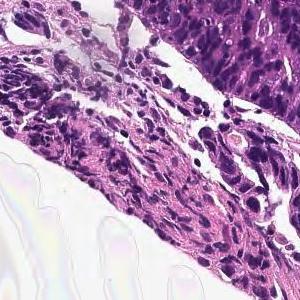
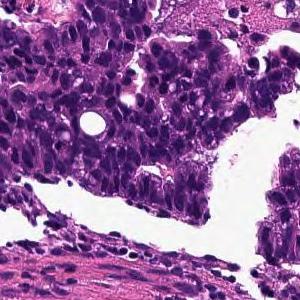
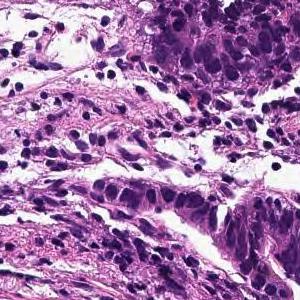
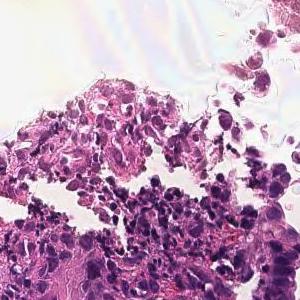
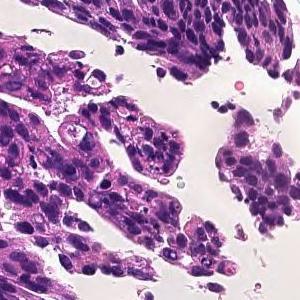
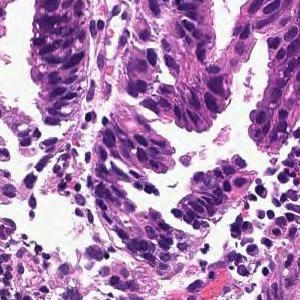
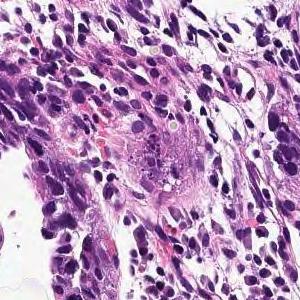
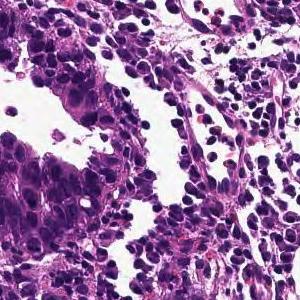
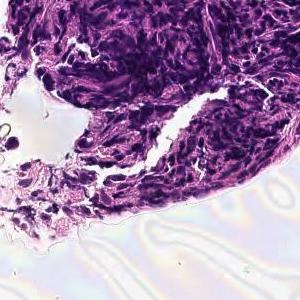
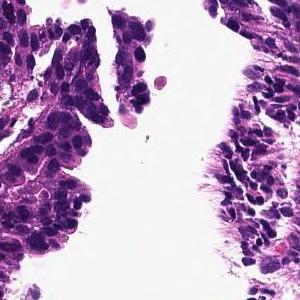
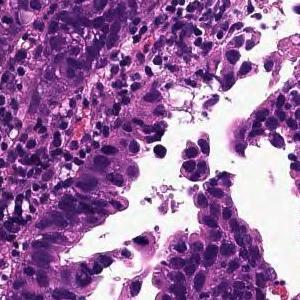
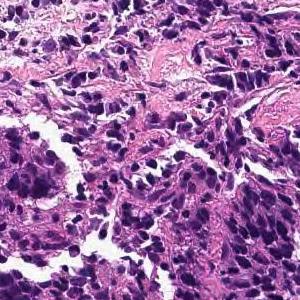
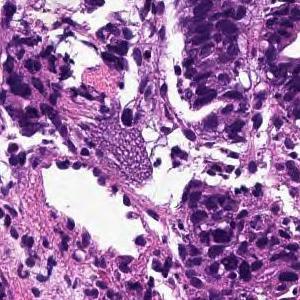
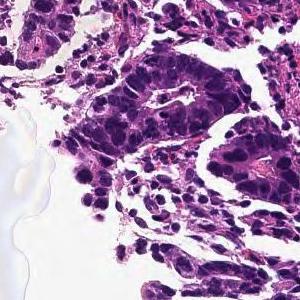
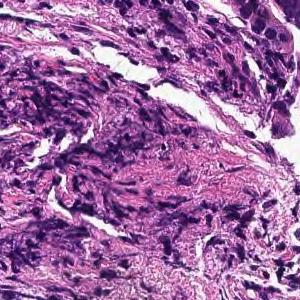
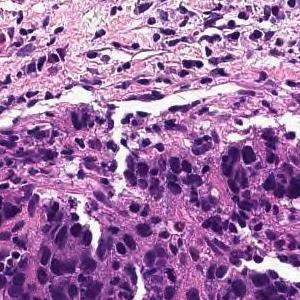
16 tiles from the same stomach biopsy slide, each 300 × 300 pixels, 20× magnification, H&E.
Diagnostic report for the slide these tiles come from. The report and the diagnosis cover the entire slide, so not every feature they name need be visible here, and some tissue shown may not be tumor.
In the superficial epithelium, tumor tissue that invades by forming medium-sized to small, irregular ducts is observed. moderately differentiated tubular adenocarcinoma.
